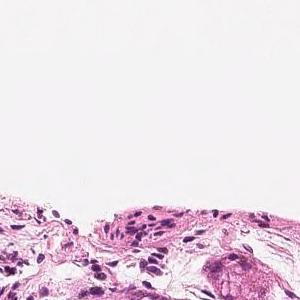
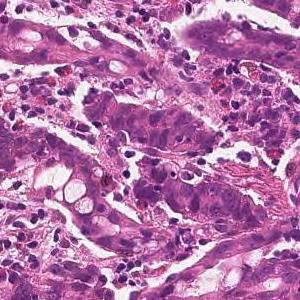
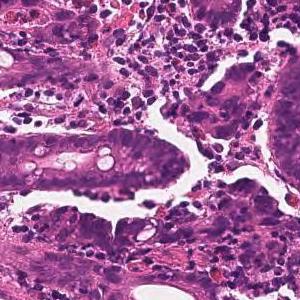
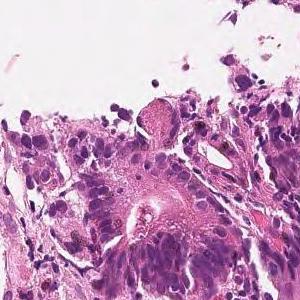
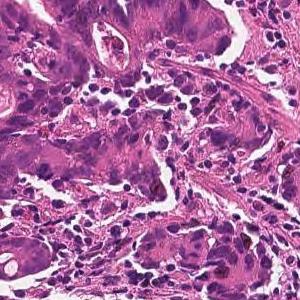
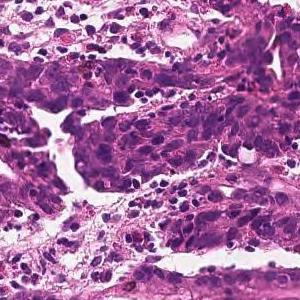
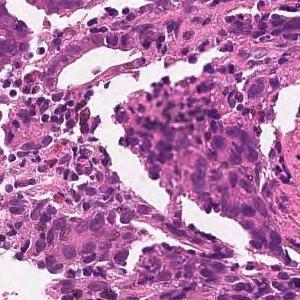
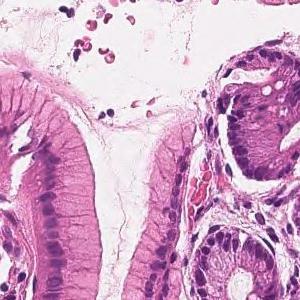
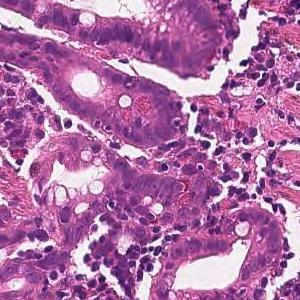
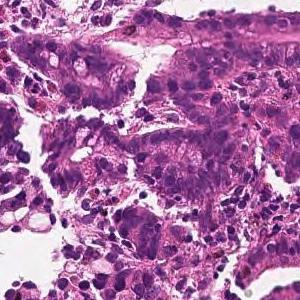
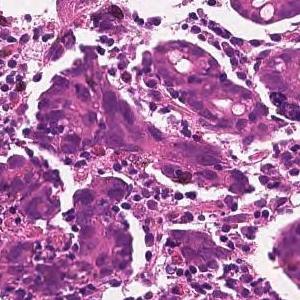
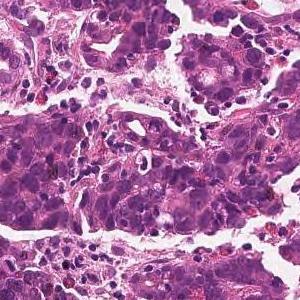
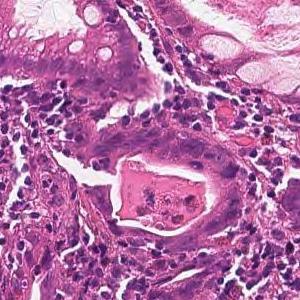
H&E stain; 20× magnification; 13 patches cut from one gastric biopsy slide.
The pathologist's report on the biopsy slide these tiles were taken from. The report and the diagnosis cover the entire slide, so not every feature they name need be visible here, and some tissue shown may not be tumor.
On the superficial epithelium, tumor tissue is found in which medium-sized irregular gland ducts fuse with each other and infiltrate. moderately differentiated tubular adenocarcinoma
